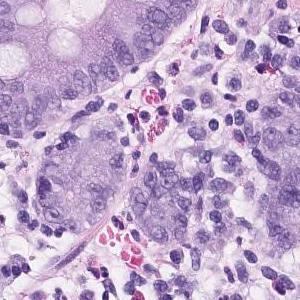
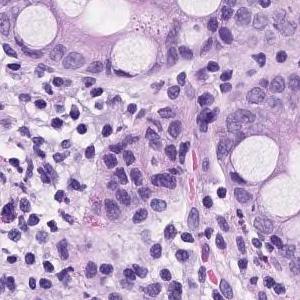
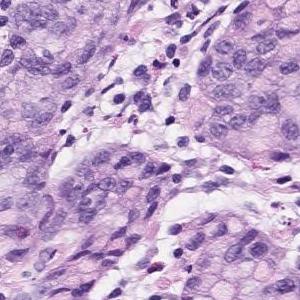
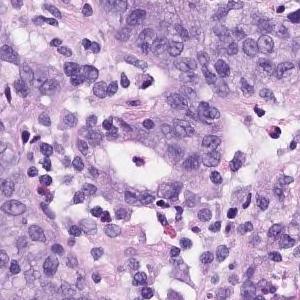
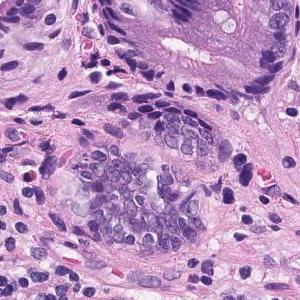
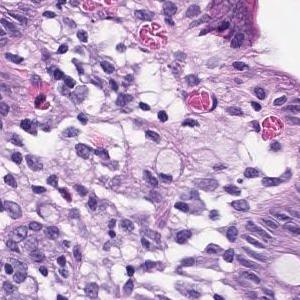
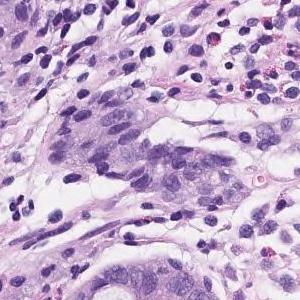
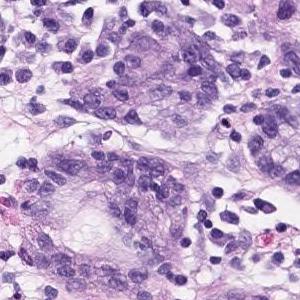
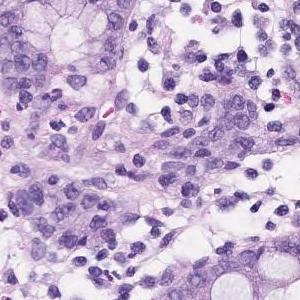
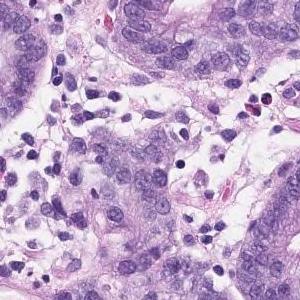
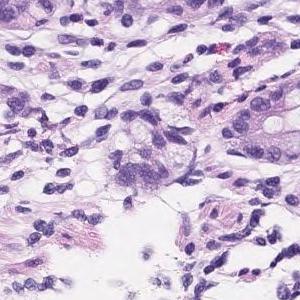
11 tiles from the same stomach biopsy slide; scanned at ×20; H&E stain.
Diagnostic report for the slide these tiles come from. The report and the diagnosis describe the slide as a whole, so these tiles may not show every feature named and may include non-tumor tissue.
Atypical l cells with atypical nuclei forming diffuse or small irregular atypical ducts and growing. Moderately to poorly differentiated adenocarcinoma (poorly differentiated adenocarcinoma, solid type moderately differentiated tubular adenocarcinoma)
Classified as moderately to poorly differentiated adenocarcinoma.
The solid type named here is a Japanese Classification of Gastric Carcinoma category; WHO 2019 calls it tubular adenocarcinoma, poorly differentiated.
